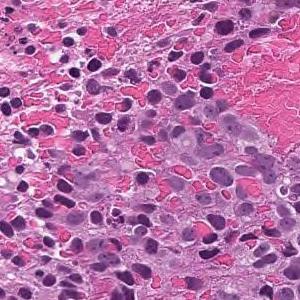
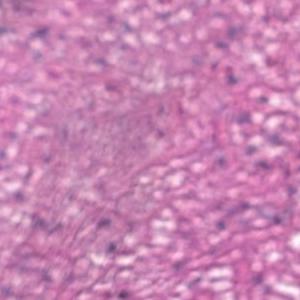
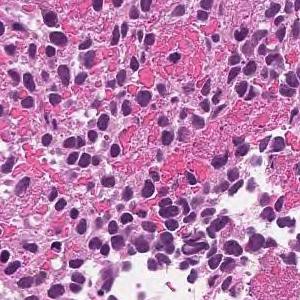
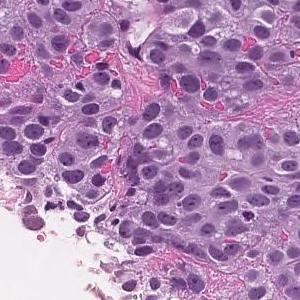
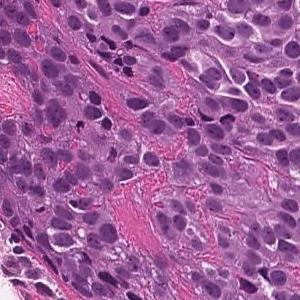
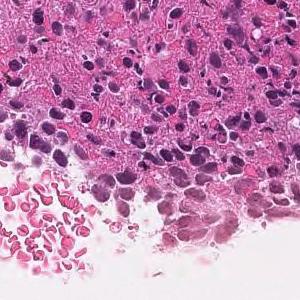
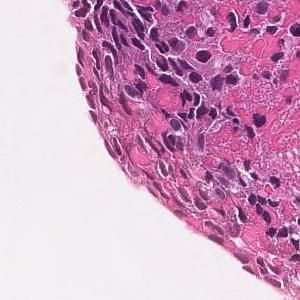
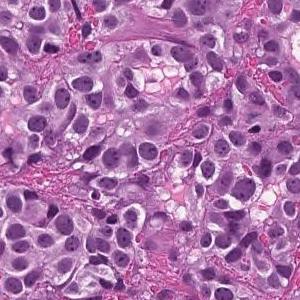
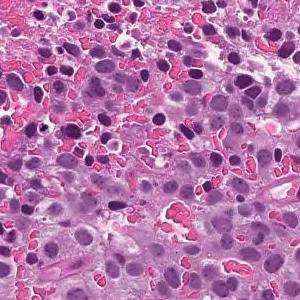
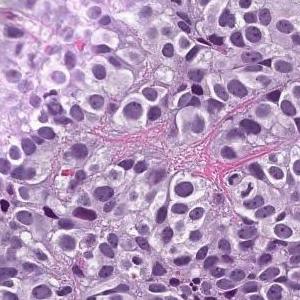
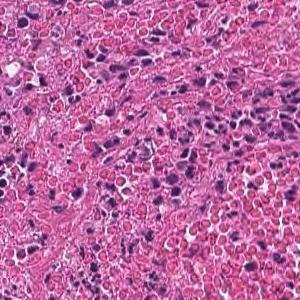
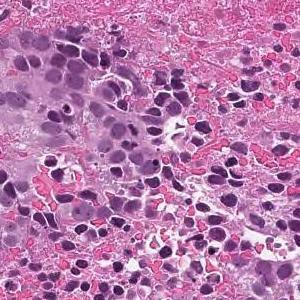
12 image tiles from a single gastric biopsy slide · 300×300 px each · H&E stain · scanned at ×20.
Pathology report for the slide these tiles were cut from. The report and the diagnosis describe the slide as a whole, so these tiles may not show every feature named and may include non-tumor tissue.
The superficial epithelium shows a large sheet-like shape, and some tumor tissue infiltrates with small irregular ducts. Poorly differentiated adenocarcinoma, solid-type
Subtype: Poorly differentiated adenocarcinoma, solid type (Japanese Classification of Gastric Carcinoma). The WHO 2019 equivalent is tubular adenocarcinoma, poorly differentiated.
